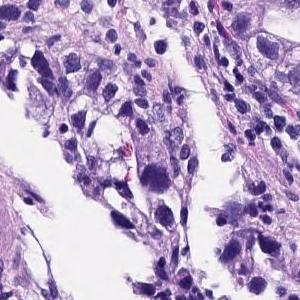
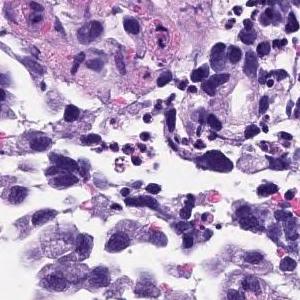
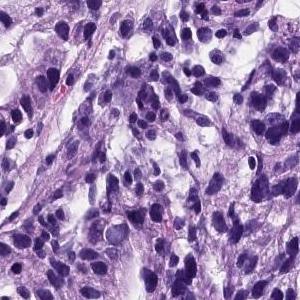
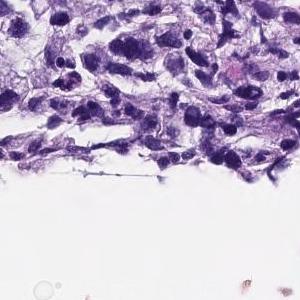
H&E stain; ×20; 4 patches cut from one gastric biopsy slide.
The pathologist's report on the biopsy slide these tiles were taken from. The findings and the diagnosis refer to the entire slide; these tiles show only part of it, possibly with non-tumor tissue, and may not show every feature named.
Medium to small, irregular glandular ducts are formed in the superficial epithelium, and in some cases, the glandular ducts are fused to show solid alveolar lesions and infiltrating tumor tissue is observed. Poorly differentiated adenocarcinoma, Moderately differentiated adenocarcinoma.
Labeled in the dataset as moderately differentiated tubular adenocarcinoma.
